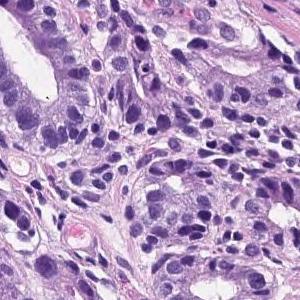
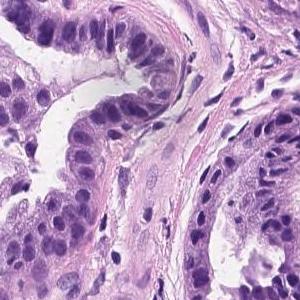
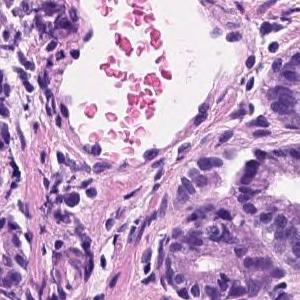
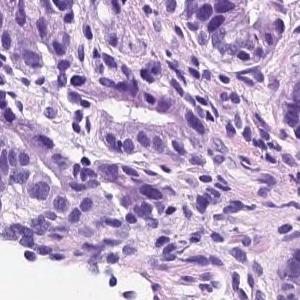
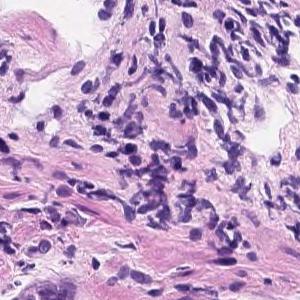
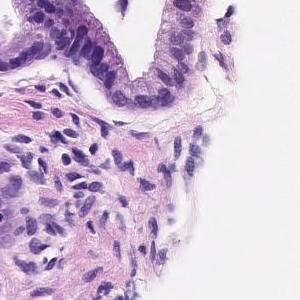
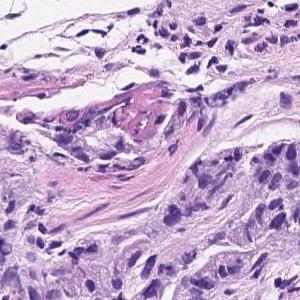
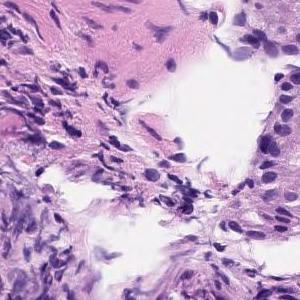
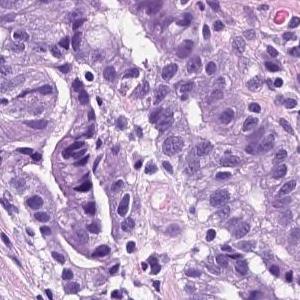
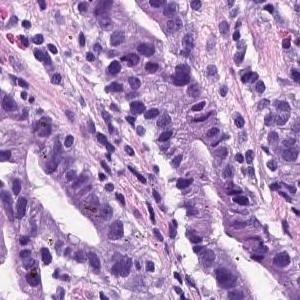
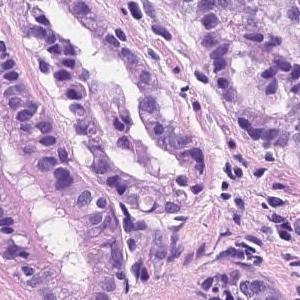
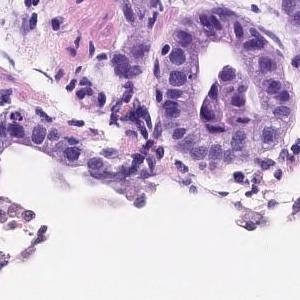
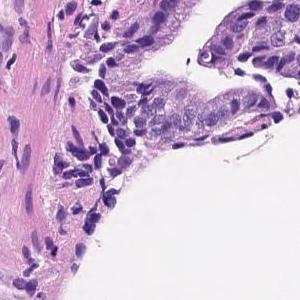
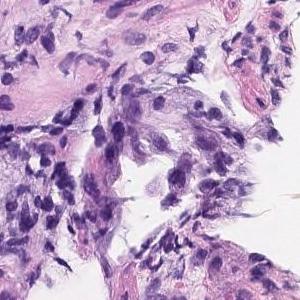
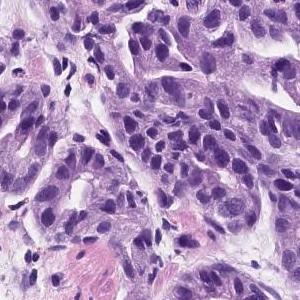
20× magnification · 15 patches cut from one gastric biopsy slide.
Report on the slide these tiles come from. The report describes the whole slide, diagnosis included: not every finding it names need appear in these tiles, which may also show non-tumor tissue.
Tumor tissue consisting of medium-sized and irregular ducts is observed infiltrating in the superficial epithelium. Tumor cells are highly columnar, with nuclei aligned basolaterally and polarized. Well differentiated tubular adenocarcinoma.
